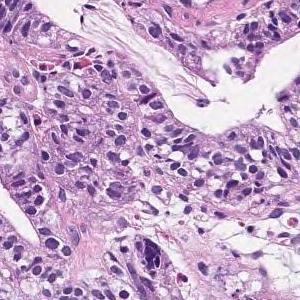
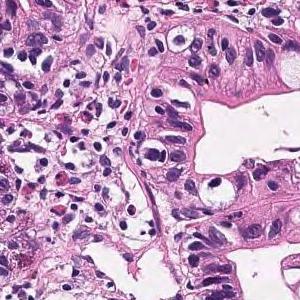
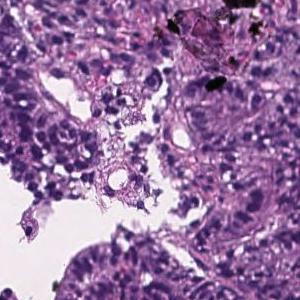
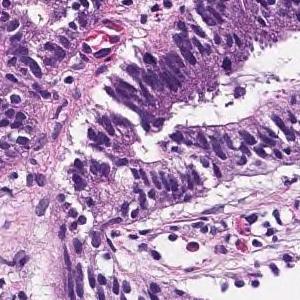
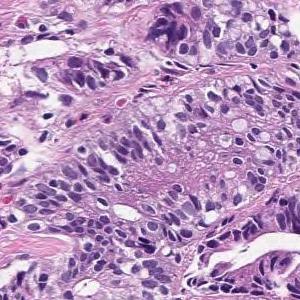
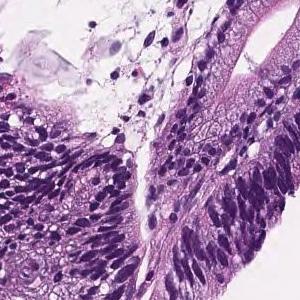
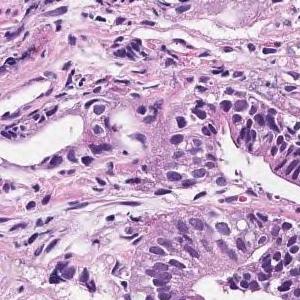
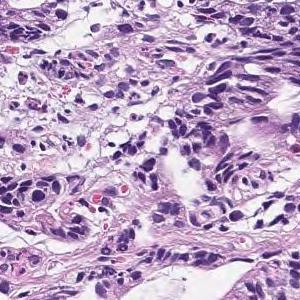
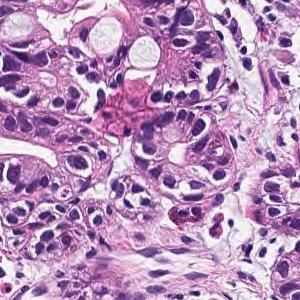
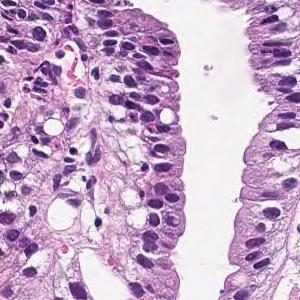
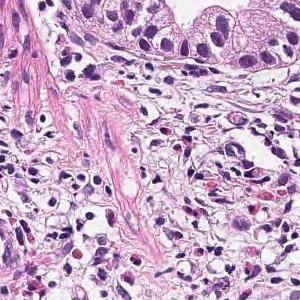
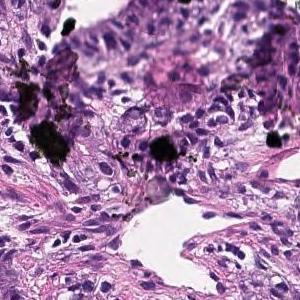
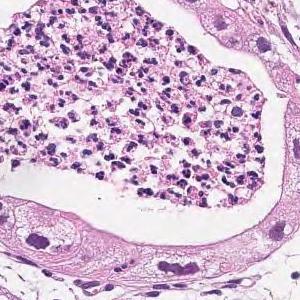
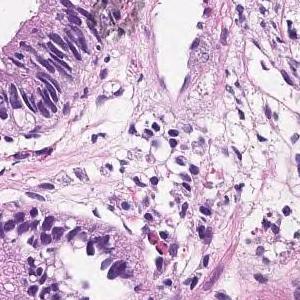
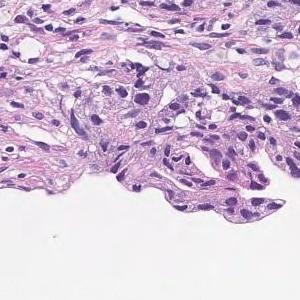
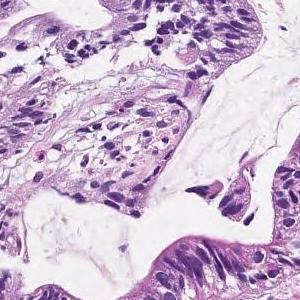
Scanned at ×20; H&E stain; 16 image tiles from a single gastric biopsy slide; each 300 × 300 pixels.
The pathologist's report on the biopsy slide these tiles were taken from. What the report and the diagnosis say applies to the whole slide; these tiles may miss some of the features named and may include tissue that is not tumor.
In the superficial epithelium, tumor tissue that invades by forming medium-sized to small, irregular ducts is observed. Moderately differentiated adenocarcinoma.
Histological subtype: Moderately differentiated tubular adenocarcinoma.
